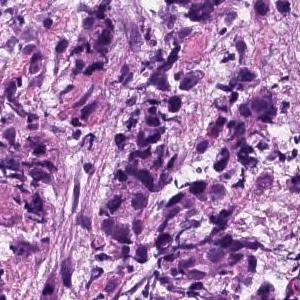
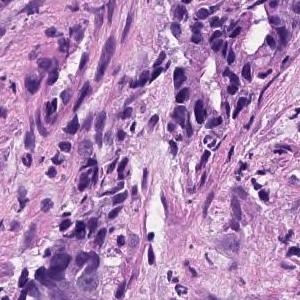
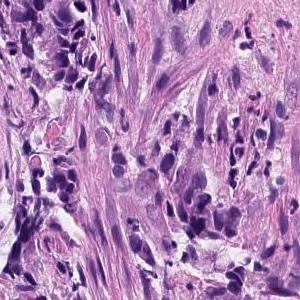
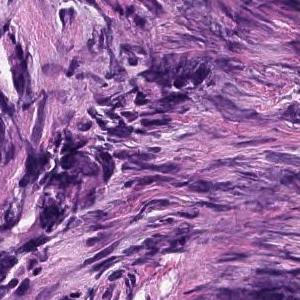
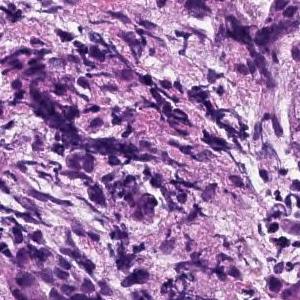
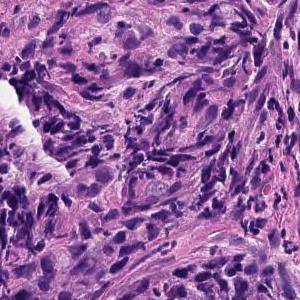
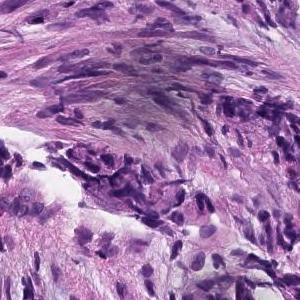
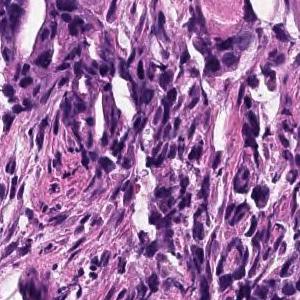
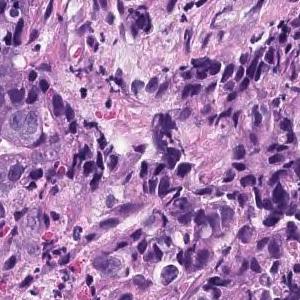
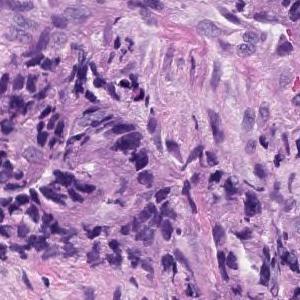
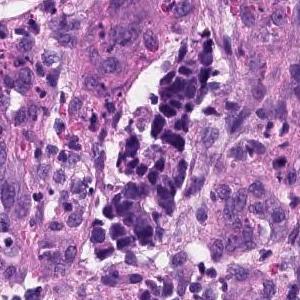
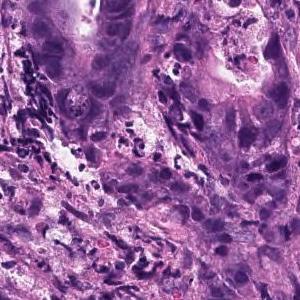
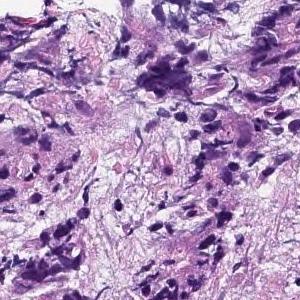
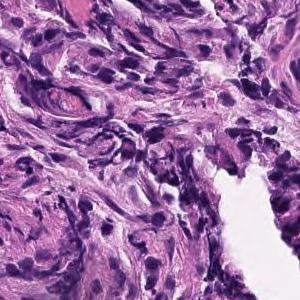
14 tiles from the same stomach biopsy slide · scanned at ×20 · H&E.
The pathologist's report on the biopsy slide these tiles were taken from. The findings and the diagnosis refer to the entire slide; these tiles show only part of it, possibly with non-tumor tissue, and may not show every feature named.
Medium to small, irregular glandular ducts are formed in the superficial epithelium, and in some cases, the glandular ducts are fused to show solid alveolar lesions and infiltrating tumor tissue is observed. Moderately to poorly differentiated adenocarcinoma.
